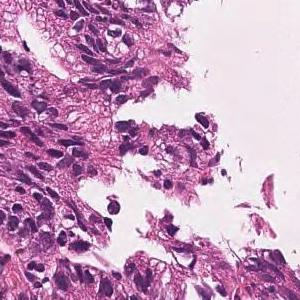
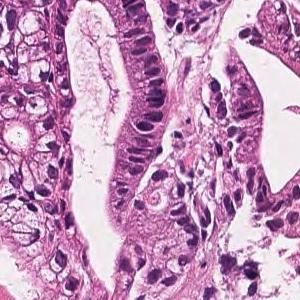
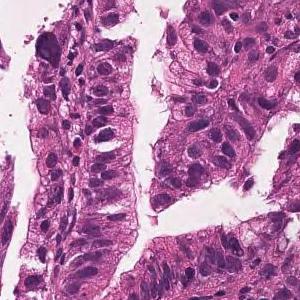
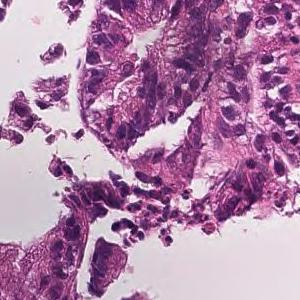
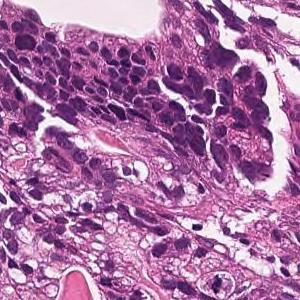
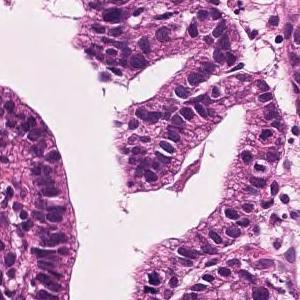
×20 · 6 patches cut from one gastric biopsy slide.
The pathologist's report on the biopsy slide these tiles were taken from. The report describes the whole slide, diagnosis included: not every finding it names need appear in these tiles, which may also show non-tumor tissue.
On the superficial epithelium, tumor tissue consisting of large, irregular glandular ducts partially fused and infiltrated is observed. Well to moderately differentiated tubular adenocarcinoma (well differentiated tubular adenocarcinoma, moderately differentiated tubular adenocarcinoma)
Tumor subtype: well to moderately differentiated tubular adenocarcinoma.
